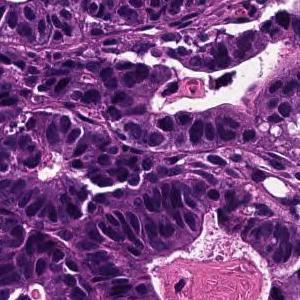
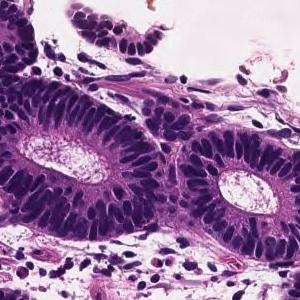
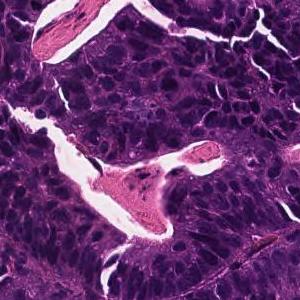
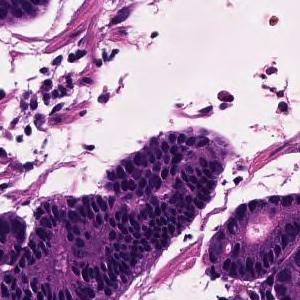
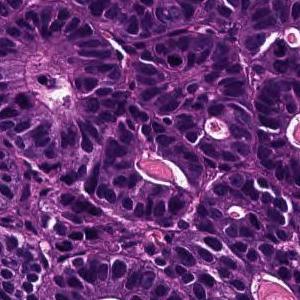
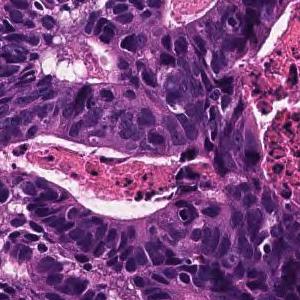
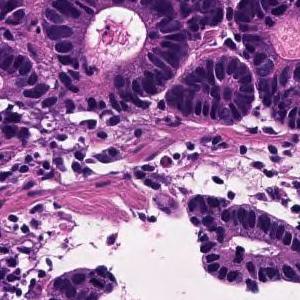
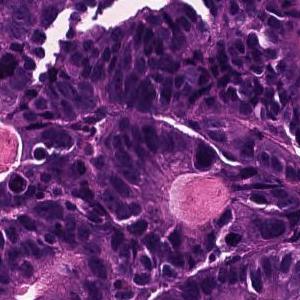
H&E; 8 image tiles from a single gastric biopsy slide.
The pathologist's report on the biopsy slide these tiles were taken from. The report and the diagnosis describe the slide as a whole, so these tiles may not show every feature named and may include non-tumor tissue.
In the superficial epithelium, tumor tissue that invades by forming medium-sized to small, irregular ducts is observed. moderately differentiated tubular adenocarcinoma.
